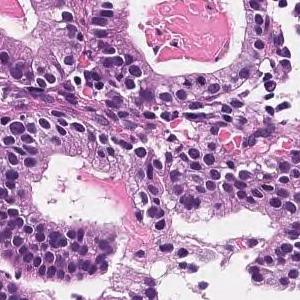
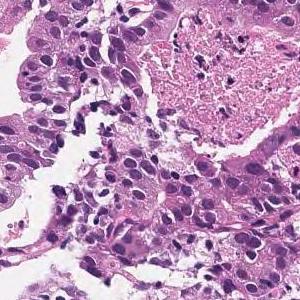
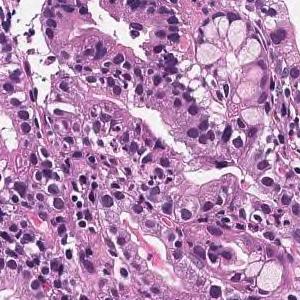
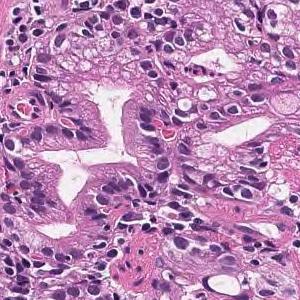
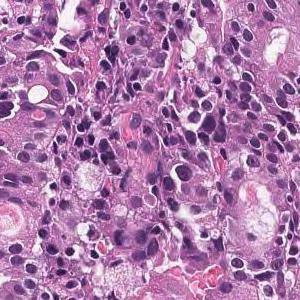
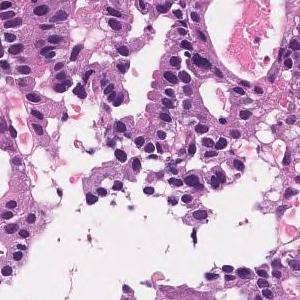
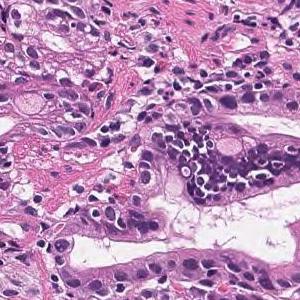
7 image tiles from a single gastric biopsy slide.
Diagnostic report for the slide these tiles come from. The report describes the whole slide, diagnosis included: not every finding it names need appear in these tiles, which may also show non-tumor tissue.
Medium to small, irregular glandular ducts are formed in the superficial epithelium, and in some cases, the glandular ducts are fused to show solid alveolar lesions and infiltrating tumor tissue is observed. Moderately to poorly differentiated adenocarcinoma.
